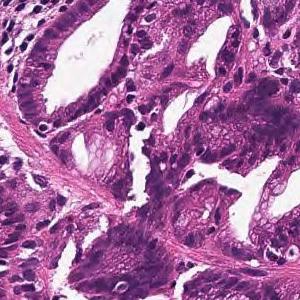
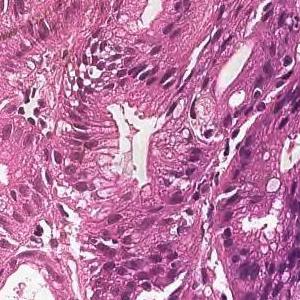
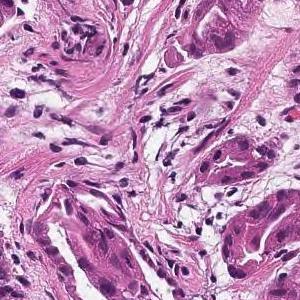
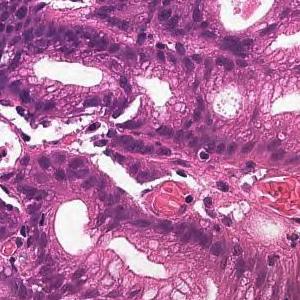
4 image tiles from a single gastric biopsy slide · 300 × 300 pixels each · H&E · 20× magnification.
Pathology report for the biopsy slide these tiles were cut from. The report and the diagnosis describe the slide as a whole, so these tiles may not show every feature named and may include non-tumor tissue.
In the superficial epithelium, tumor tissue that invades by forming medium-sized to small, irregular ducts is observed. moderately differentiated tubular adenocarcinoma.
